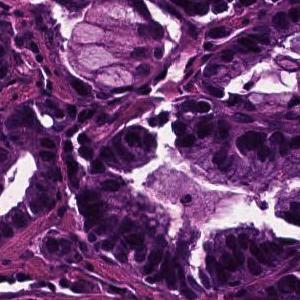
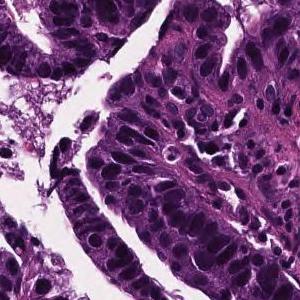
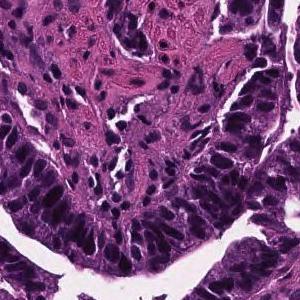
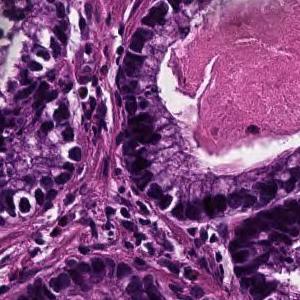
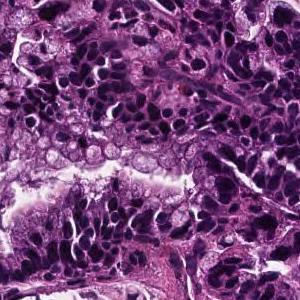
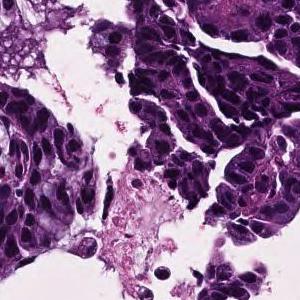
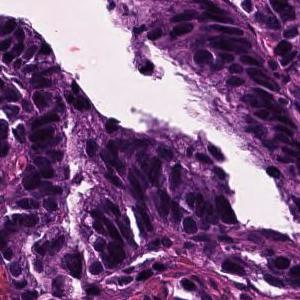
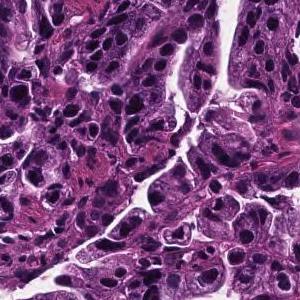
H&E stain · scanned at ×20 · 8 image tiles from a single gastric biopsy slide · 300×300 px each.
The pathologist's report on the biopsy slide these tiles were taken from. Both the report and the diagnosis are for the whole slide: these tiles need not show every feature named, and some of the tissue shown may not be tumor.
In the superficial epithelium, tumor tissue that invades by forming medium-sized to small, irregular ducts is observed. Well differentiated tubular adenocarcinoma.
